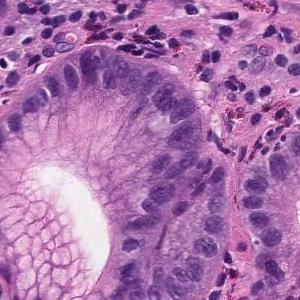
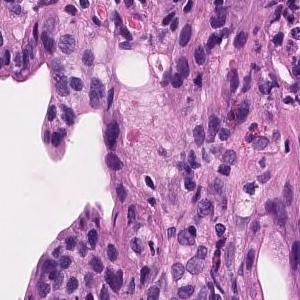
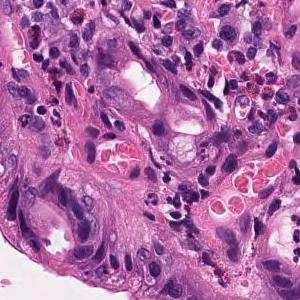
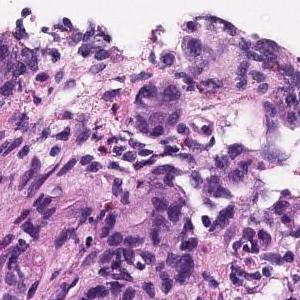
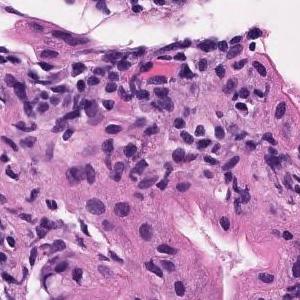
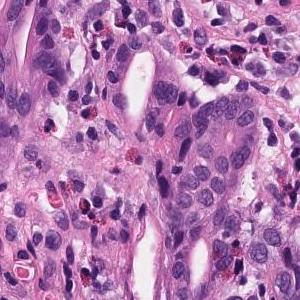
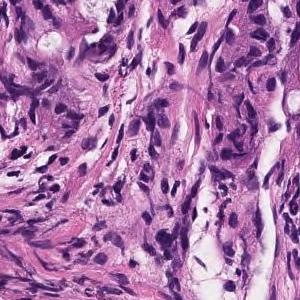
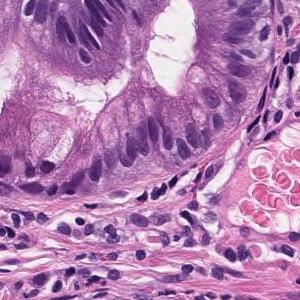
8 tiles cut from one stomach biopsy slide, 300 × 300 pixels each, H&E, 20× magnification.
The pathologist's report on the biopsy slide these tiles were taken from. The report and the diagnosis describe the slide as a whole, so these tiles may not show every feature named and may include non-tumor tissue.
moderately differentiated tubular adenocarcinoma, Poorly differentiated adenocarcinoma
Dataset label: poorly differentiated adenocarcinoma, solid type (Japanese Classification of Gastric Carcinoma). The WHO 2019 equivalent is tubular adenocarcinoma, poorly differentiated.
